12 patches cut from one gastric biopsy slide, each 300 × 300 pixels, hematoxylin and eosin stain.
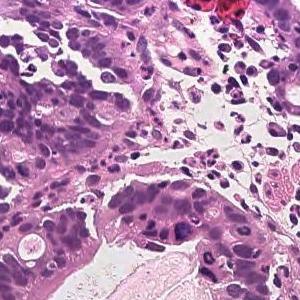
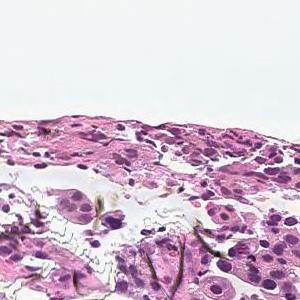
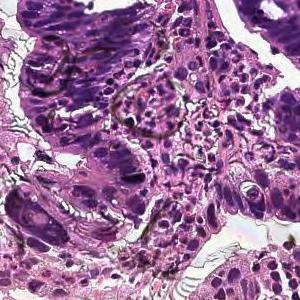
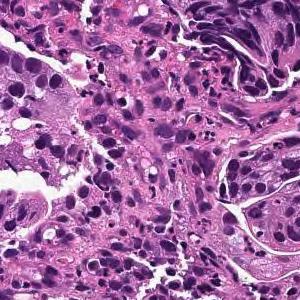
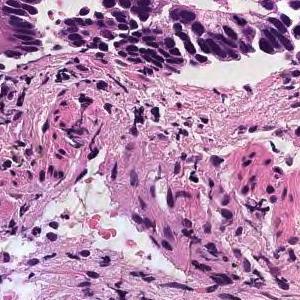
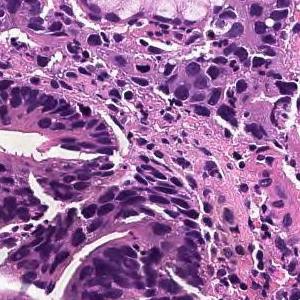
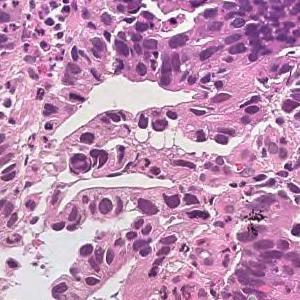
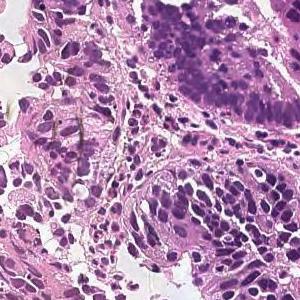
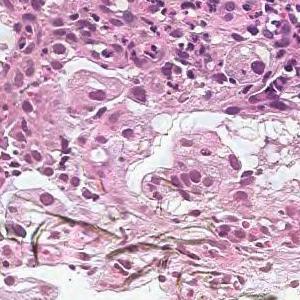
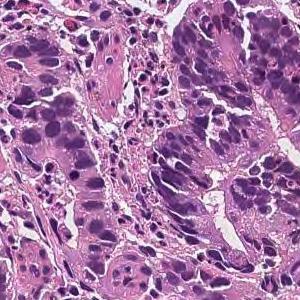
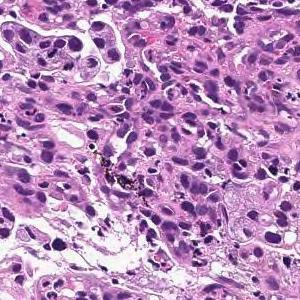
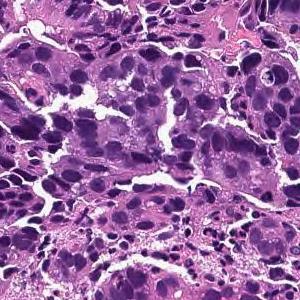
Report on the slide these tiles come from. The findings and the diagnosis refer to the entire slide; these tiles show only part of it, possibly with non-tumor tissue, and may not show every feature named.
On the superficial epithelium, tumor tissue consisting of large irregular glandular ducts partially fused and infiltrated is observed. Well to moderately differentiated tubular adenocarcinoma (well differentiated tubular adenocarcinoma, moderately differentiated tubular adenocarcinoma)
Classified as well to moderately differentiated tubular adenocarcinoma.
